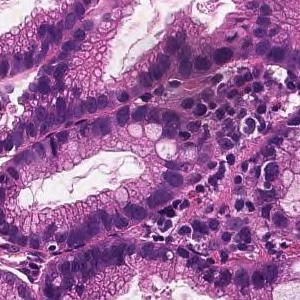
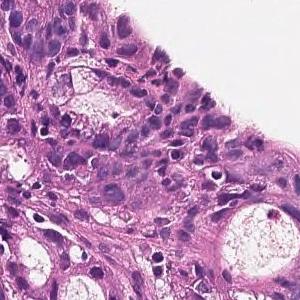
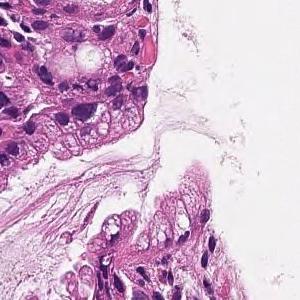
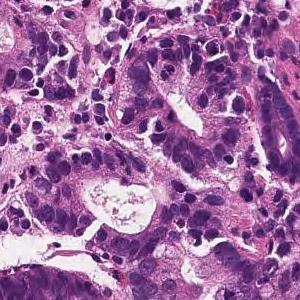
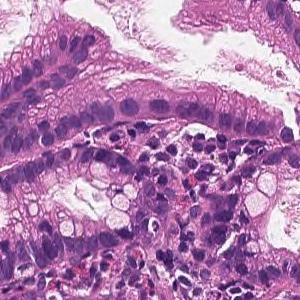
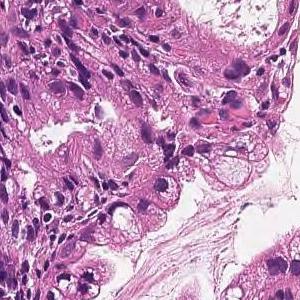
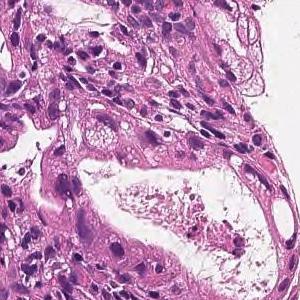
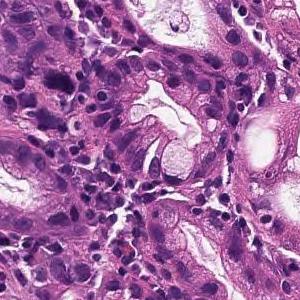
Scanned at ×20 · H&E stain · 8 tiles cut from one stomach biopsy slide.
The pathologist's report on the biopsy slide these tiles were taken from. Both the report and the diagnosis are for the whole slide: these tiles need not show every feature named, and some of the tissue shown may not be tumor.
From the superficial epithelium to the muscularis mucosae, tumor tissue consisting of medium-sized and irregular glandular ducts infiltrating is observed. Well differentiated tubular adenocarcinoma
